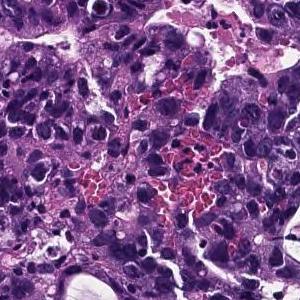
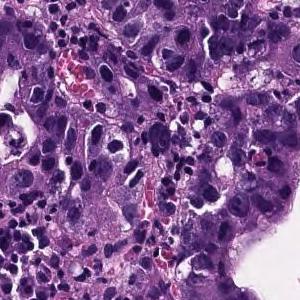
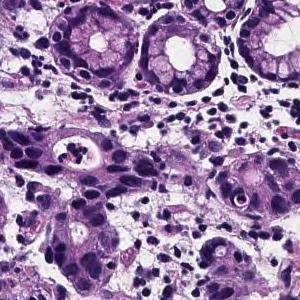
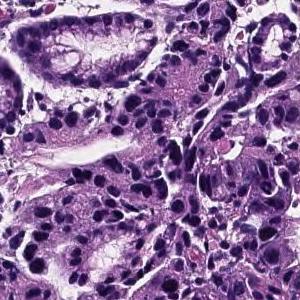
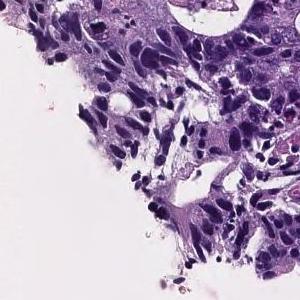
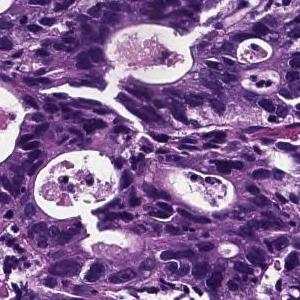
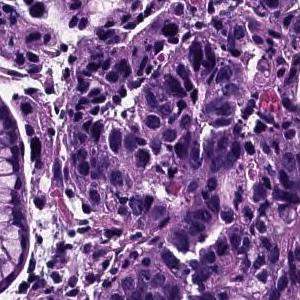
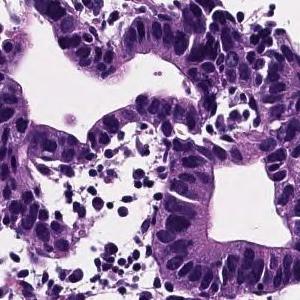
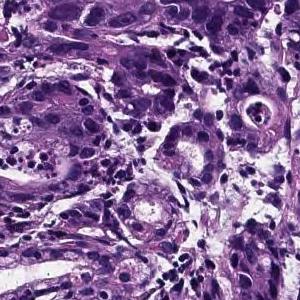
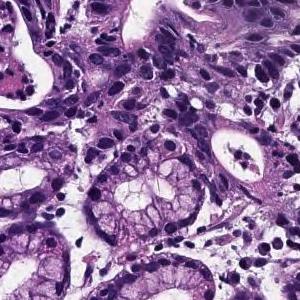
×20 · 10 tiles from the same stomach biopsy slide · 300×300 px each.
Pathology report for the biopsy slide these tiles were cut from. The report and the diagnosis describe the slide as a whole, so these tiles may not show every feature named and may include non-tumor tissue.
In the superficial epithelium, tumor tissue that invades by forming medium-sized to small, irregular ducts is observed. moderately differentiated tubular adenocarcinoma.
